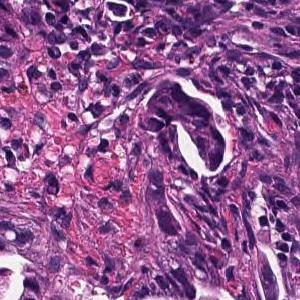
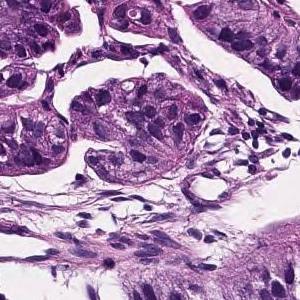
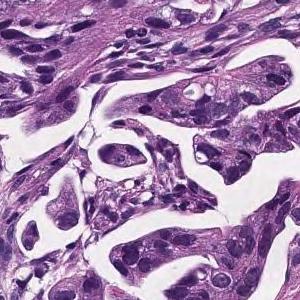
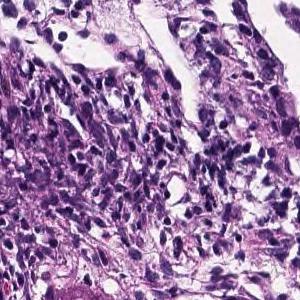
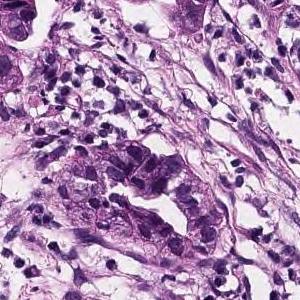
H&E; 20× magnification; 5 tiles from the same stomach biopsy slide.
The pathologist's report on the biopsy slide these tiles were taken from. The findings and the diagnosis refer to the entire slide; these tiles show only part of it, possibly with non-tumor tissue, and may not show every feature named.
In the lamina propria, tumor tissue that invades by forming medium-sized to small, irregular glandular ducts is observed. moderately differentiated tubular adenocarcinoma
